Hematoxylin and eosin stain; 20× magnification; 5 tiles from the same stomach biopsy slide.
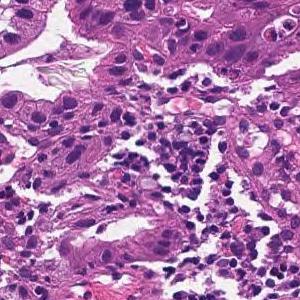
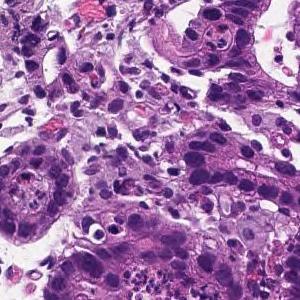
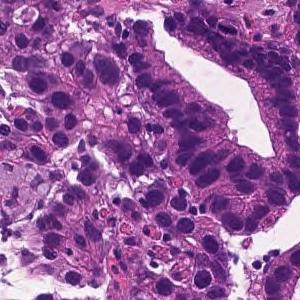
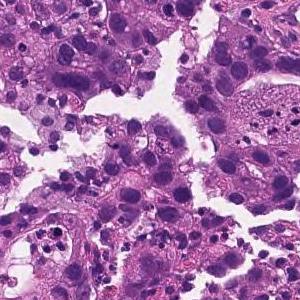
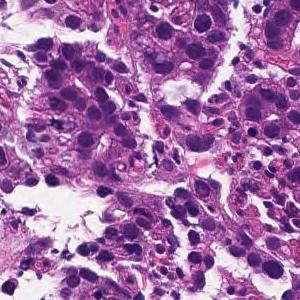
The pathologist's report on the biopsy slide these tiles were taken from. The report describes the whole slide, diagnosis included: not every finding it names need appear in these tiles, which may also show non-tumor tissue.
Medium to small, irregular glandular ducts are formed in the superficial epithelium, and in some cases, the glandular ducts are fused to show solid alveolar lesions and infiltrating tumor tissue is observed. Moderately to poorly differentiated adenocarcinoma.
